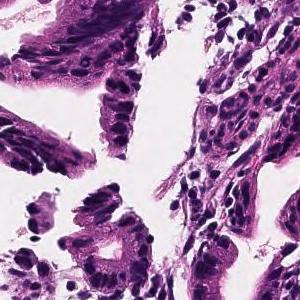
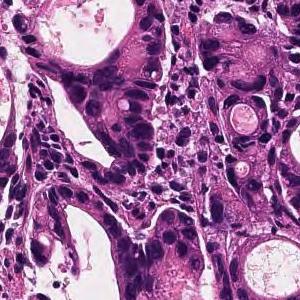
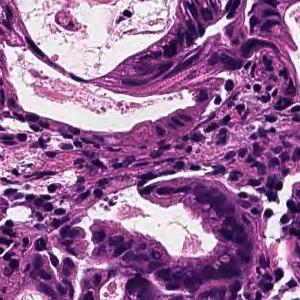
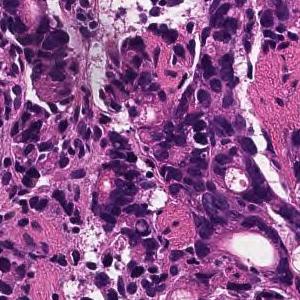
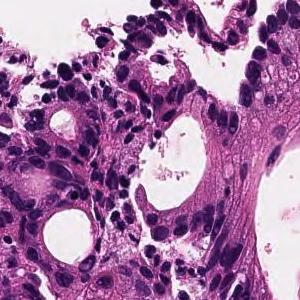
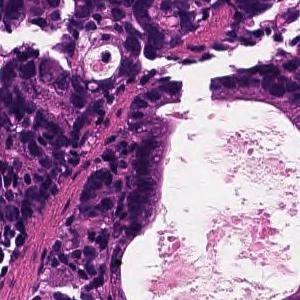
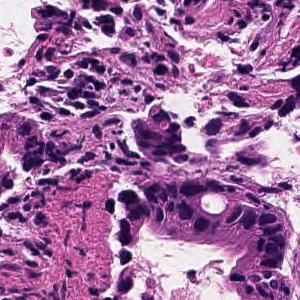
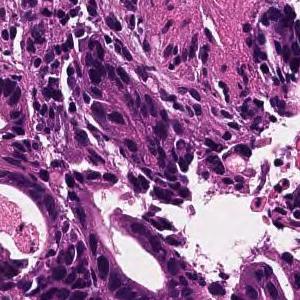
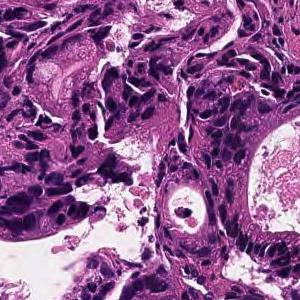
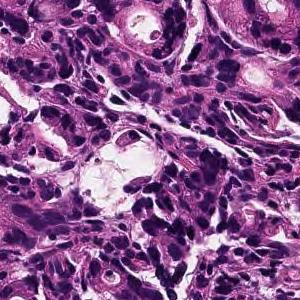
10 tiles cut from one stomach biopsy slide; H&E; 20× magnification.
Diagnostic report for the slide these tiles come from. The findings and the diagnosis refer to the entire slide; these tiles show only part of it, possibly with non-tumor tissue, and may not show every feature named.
In the superficial epithelium, tumor tissue that invades by forming medium-sized to small, irregular ducts is observed. moderately differentiated tubular adenocarcinoma.
